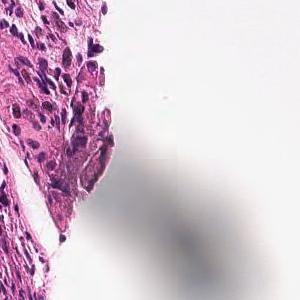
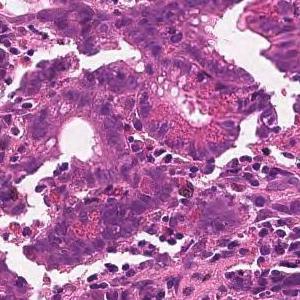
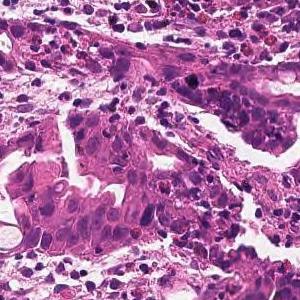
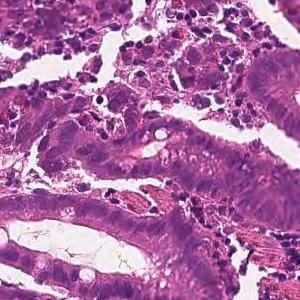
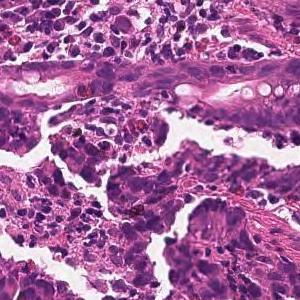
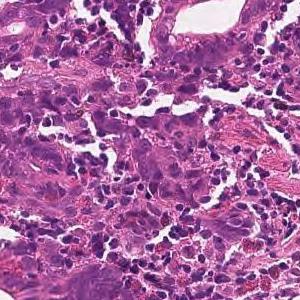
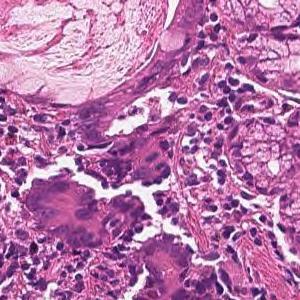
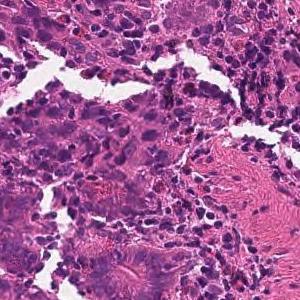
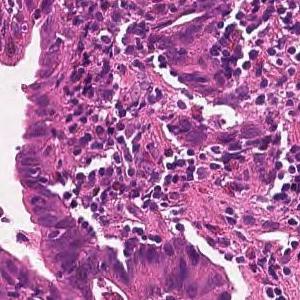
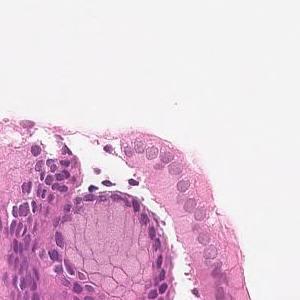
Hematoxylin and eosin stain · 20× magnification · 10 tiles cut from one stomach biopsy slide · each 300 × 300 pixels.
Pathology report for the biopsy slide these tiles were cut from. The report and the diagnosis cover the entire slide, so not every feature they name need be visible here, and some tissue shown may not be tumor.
On the superficial epithelium, tumor tissue is found in which medium-sized irregular gland ducts fuse with each other and infiltrate. moderately differentiated tubular adenocarcinoma
